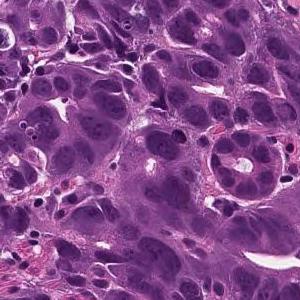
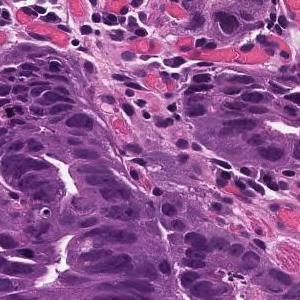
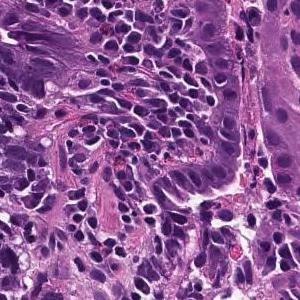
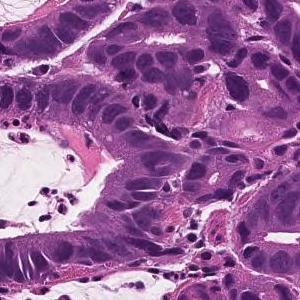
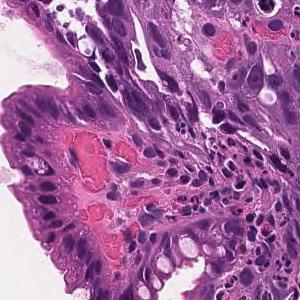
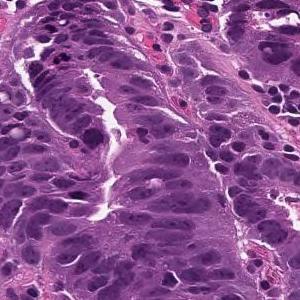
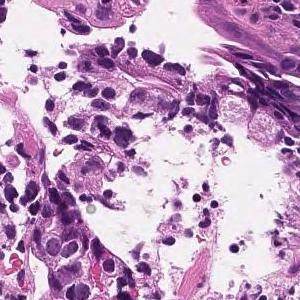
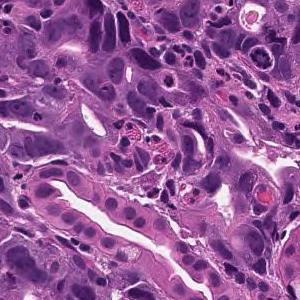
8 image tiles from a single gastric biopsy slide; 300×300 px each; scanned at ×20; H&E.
Diagnostic report for the slide these tiles come from. The report describes the whole slide, diagnosis included: not every finding it names need appear in these tiles, which may also show non-tumor tissue.
On the superficial epithelium, tumor tissue is found in which medium-sized irregular gland ducts fuse with each other and infiltrate. moderately differentiated tubular adenocarcinoma
